15 tiles from the same stomach biopsy slide · 300×300 px each · H&E stain.
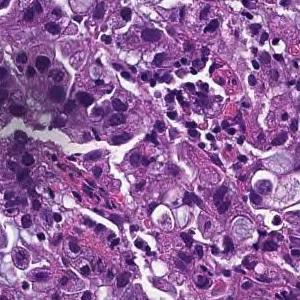
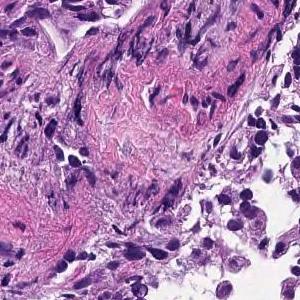
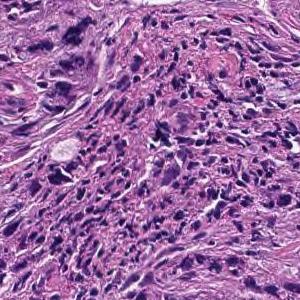
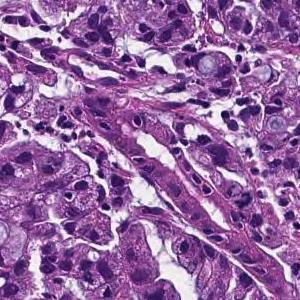
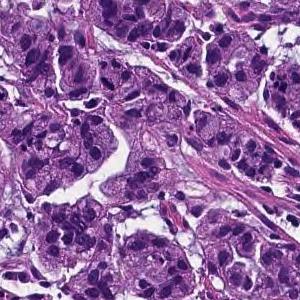
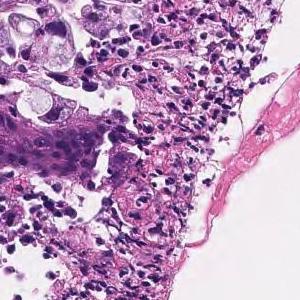
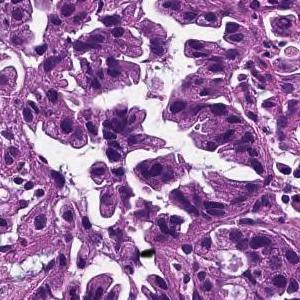
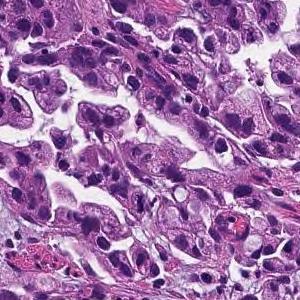
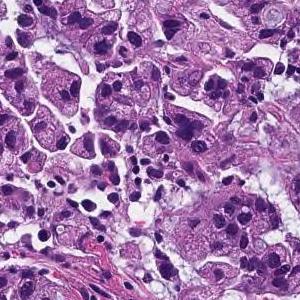
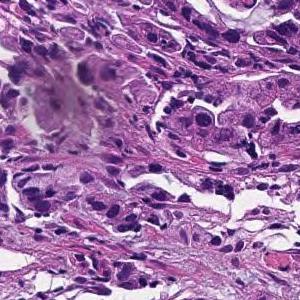
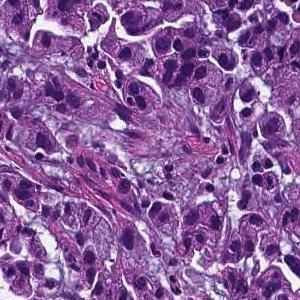
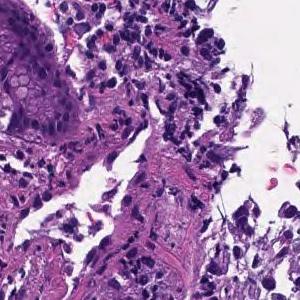
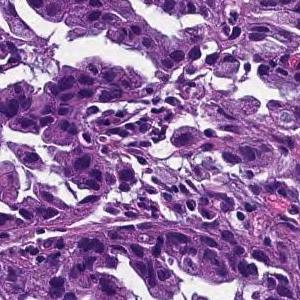
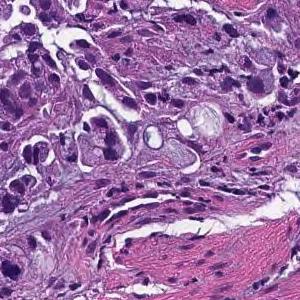
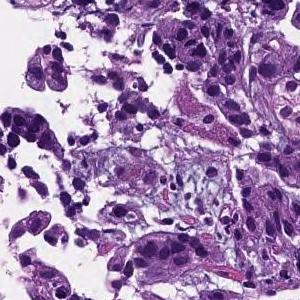
Pathology report for the biopsy slide these tiles were cut from. The report describes the whole slide, diagnosis included: not every finding it names need appear in these tiles, which may also show non-tumor tissue.
Tumor tissue consisting of medium-sized, cord-like or irregular glandular infiltration is observed in the superficial epithelium. Poorly differentiated adenocarcinoma, non-solid type or moderately differentiated tubular adenocarcinoma
Histological subtype: Moderately to poorly differentiated adenocarcinoma.
"Non-solid type" is a category of the Japanese Classification of Gastric Carcinoma.
